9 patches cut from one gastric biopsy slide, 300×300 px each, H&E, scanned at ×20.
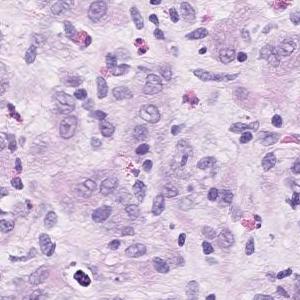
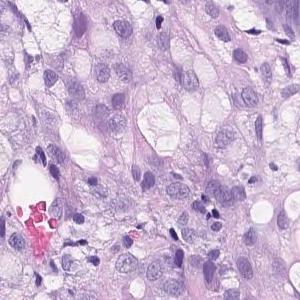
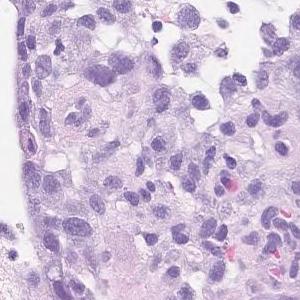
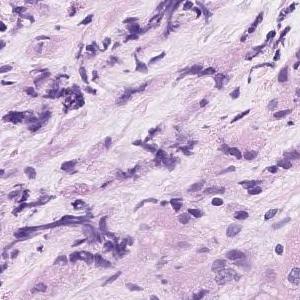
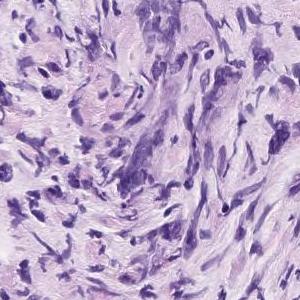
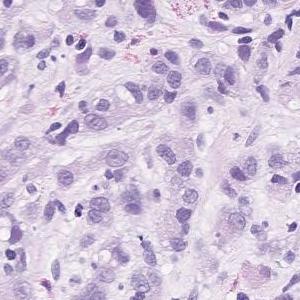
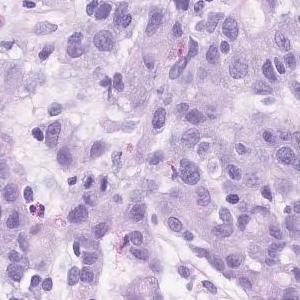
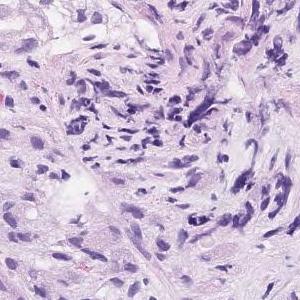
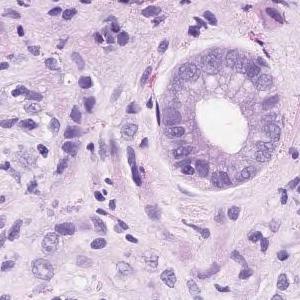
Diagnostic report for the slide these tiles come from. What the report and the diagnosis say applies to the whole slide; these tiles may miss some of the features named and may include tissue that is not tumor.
Group 5, Adenocarcinoma. Poorly differentiated adenocarcinoma, non-solid type
The term "non-solid type" comes from the Japanese Classification of Gastric Carcinoma.
